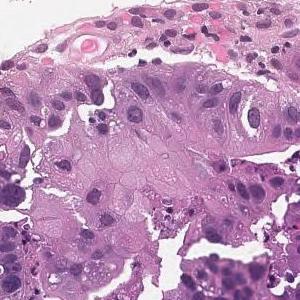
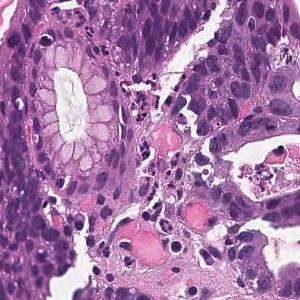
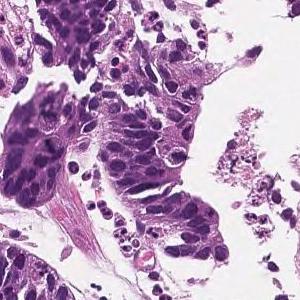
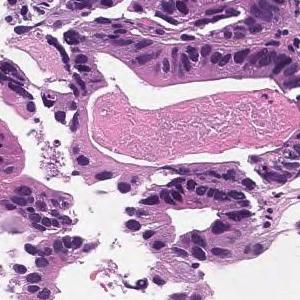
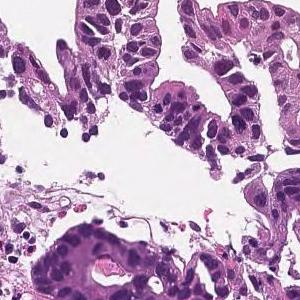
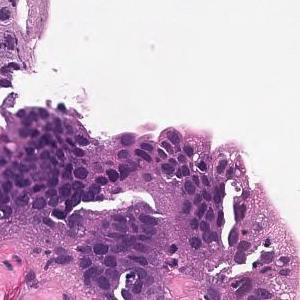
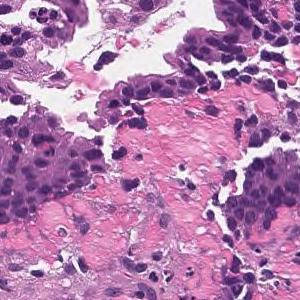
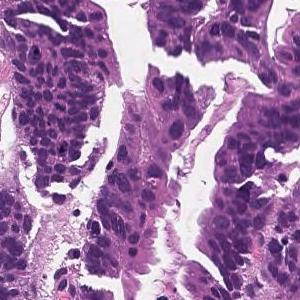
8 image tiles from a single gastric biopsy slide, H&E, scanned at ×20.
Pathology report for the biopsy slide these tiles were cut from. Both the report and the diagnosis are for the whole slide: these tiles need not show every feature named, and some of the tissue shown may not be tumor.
In the superficial epithelium, tumor tissue that invades by forming medium-sized to small, irregular ducts is observed. moderately differentiated tubular adenocarcinoma.
